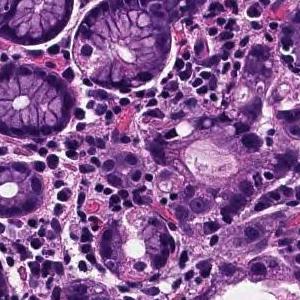
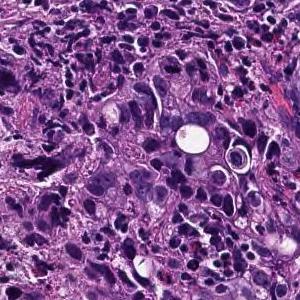
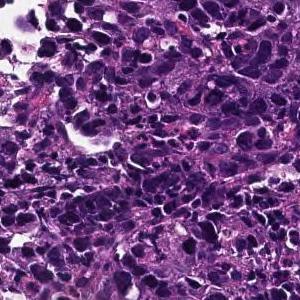
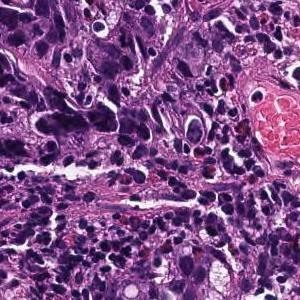
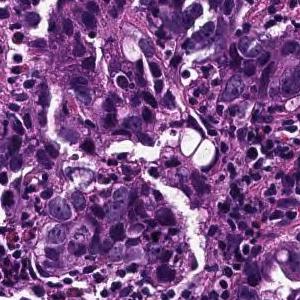
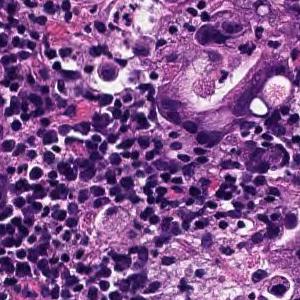
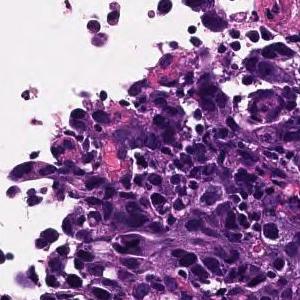
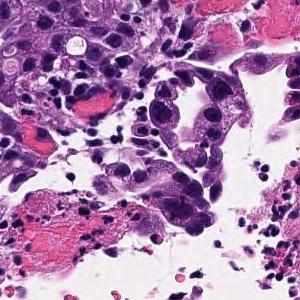
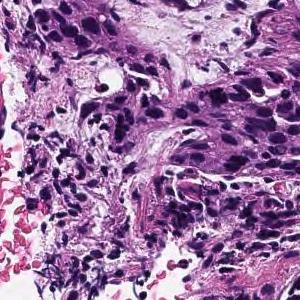
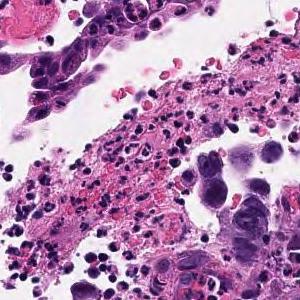
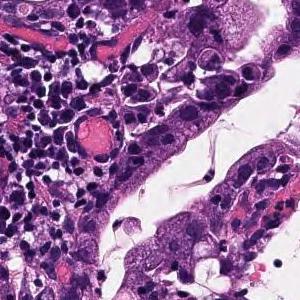
11 tiles cut from one stomach biopsy slide, each 300 × 300 pixels.
Pathology report for the biopsy slide these tiles were cut from. The report describes the whole slide, diagnosis included: not every finding it names need appear in these tiles, which may also show non-tumor tissue.
Tumor tissue consisting of medium-sized, cord-like or irregular glandular infiltration is observed in the superficial epithelium. Poorly differentiated adenocarcinoma, non-solid type or moderately differentiated tubular adenocarcinoma
Histological subtype: Moderately to poorly differentiated adenocarcinoma.
The non-solid type named here is a Japanese Classification of Gastric Carcinoma category.
